Hematoxylin and eosin stain · scanned at ×20 · 8 image tiles from a single gastric biopsy slide.
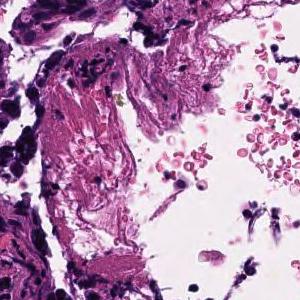
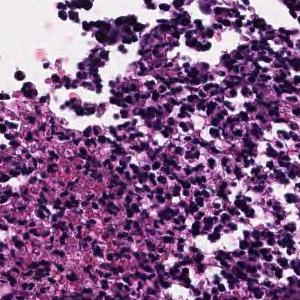
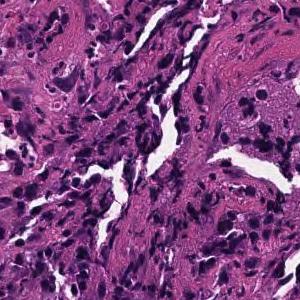
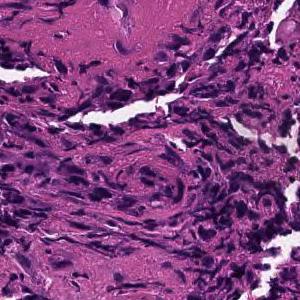
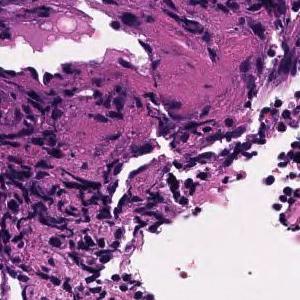
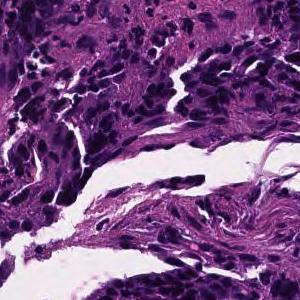
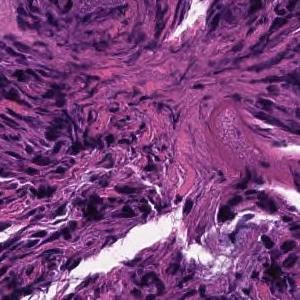
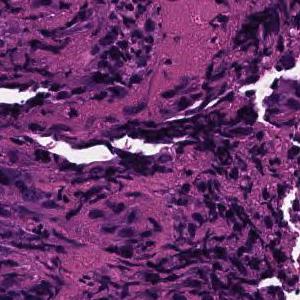
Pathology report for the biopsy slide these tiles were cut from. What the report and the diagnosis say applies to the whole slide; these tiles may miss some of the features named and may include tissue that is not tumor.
In the superficial epithelium, tumor tissue that invades by forming medium-sized to small, irregular ducts is observed. moderately differentiated tubular adenocarcinoma.
